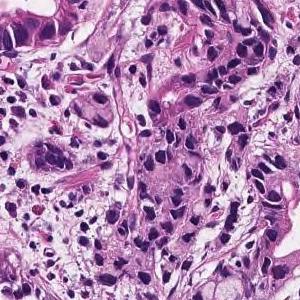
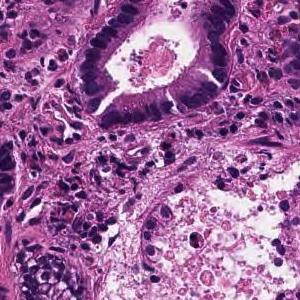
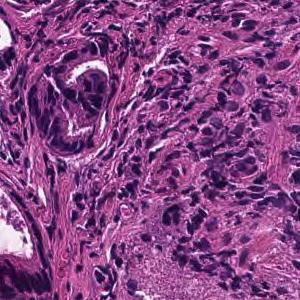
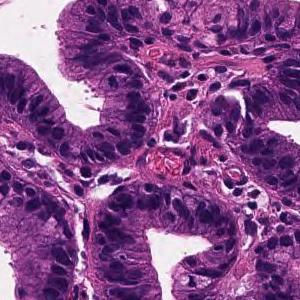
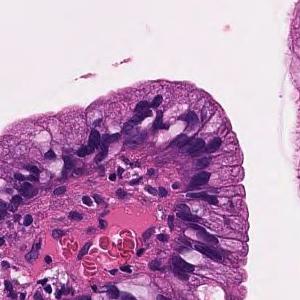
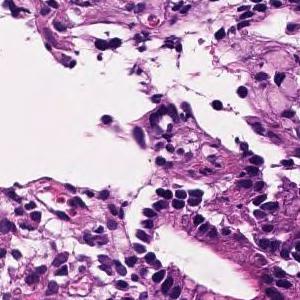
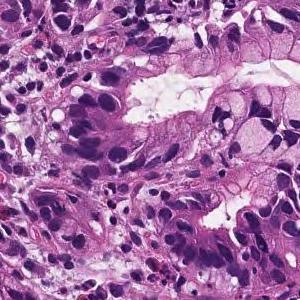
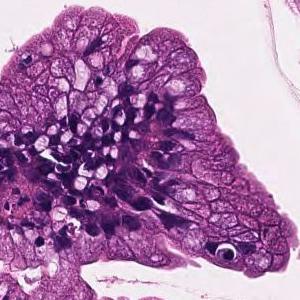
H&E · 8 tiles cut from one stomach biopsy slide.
Report on the slide these tiles come from. The report and the diagnosis describe the slide as a whole, so these tiles may not show every feature named and may include non-tumor tissue.
On the superficial epithelium, tumor tissue consisting of medium-sized and irregular glandular ducts partially fused and infiltrated is observed. Well to moderately differentiated tubular adenocarcinoma (well differentiated tubular adenocarcinoma-moderately differentiated tubular adenocarcinoma)
Classified as well to moderately differentiated tubular adenocarcinoma.
